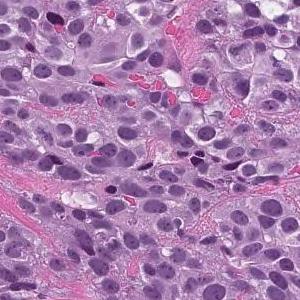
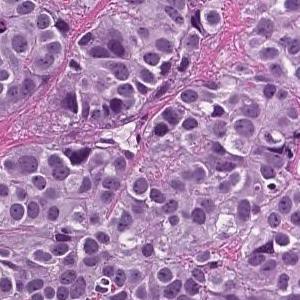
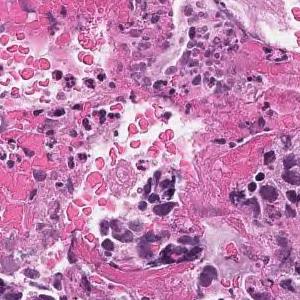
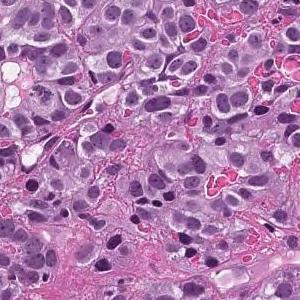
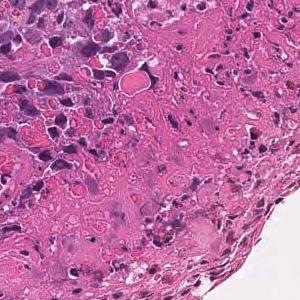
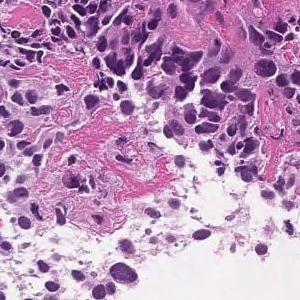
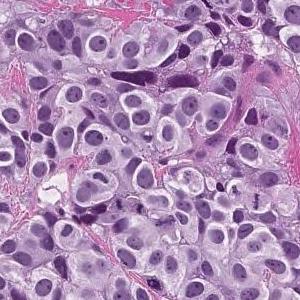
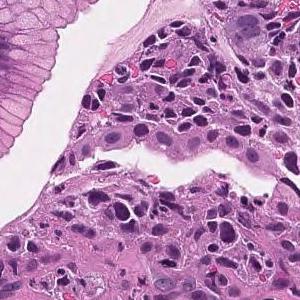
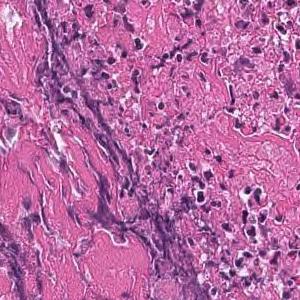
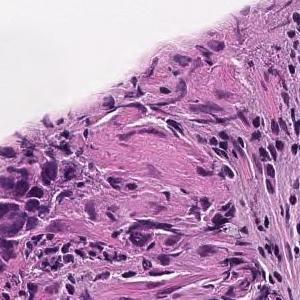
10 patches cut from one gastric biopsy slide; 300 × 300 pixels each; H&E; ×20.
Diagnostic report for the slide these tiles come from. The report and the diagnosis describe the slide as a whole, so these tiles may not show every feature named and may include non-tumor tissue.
The superficial epithelium shows a large sheet-like shape, and some tumor tissue infiltrates with small irregular ducts. Poorly differentiated adenocarcinoma, solid-type
Tumor subtype: poorly differentiated adenocarcinoma, solid type (Japanese Classification of Gastric Carcinoma). The WHO 2019 equivalent is tubular adenocarcinoma, poorly differentiated.
